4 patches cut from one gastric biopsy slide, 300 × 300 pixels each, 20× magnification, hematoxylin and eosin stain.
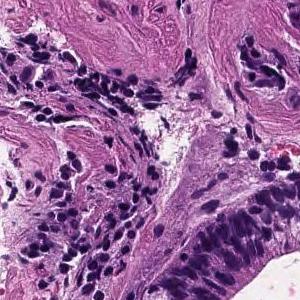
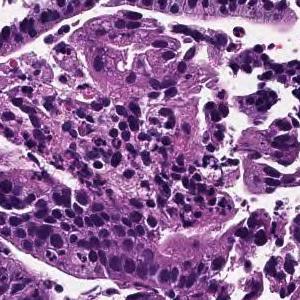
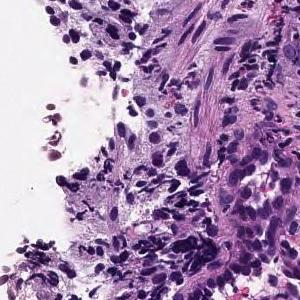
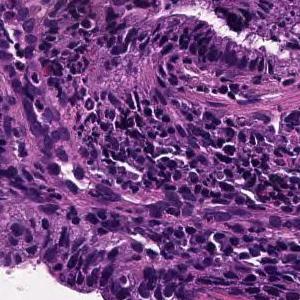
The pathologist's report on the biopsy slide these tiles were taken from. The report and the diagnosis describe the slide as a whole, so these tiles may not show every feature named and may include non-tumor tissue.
From the superficial epithelium to the muscularis mucosae, tumor tissue consisting of medium-sized and irregular glandular ducts infiltrating is observed. Well differentiated tubular adenocarcinoma
